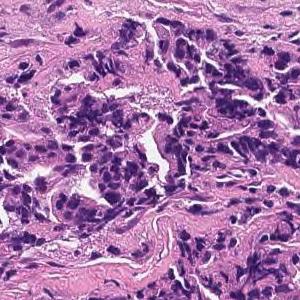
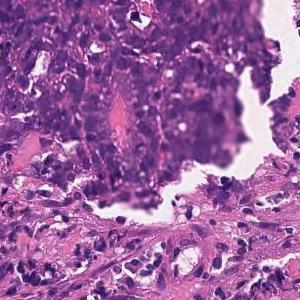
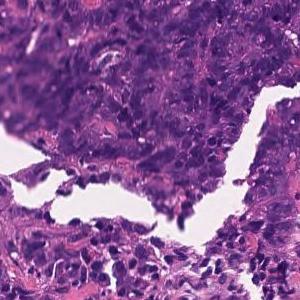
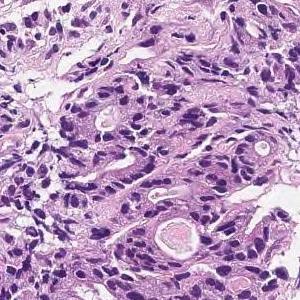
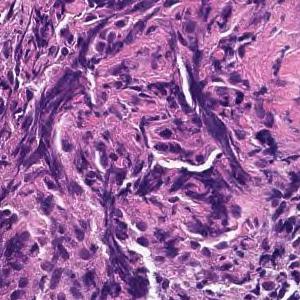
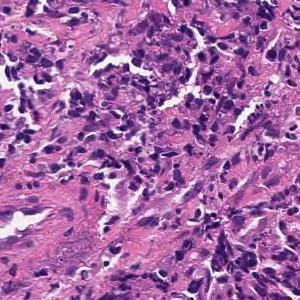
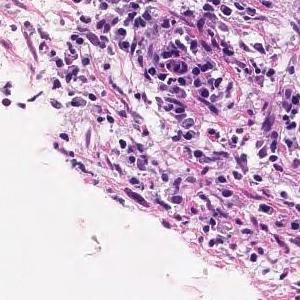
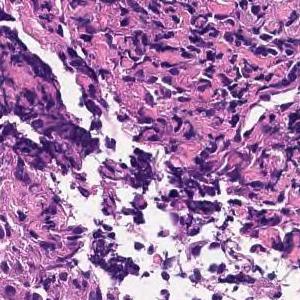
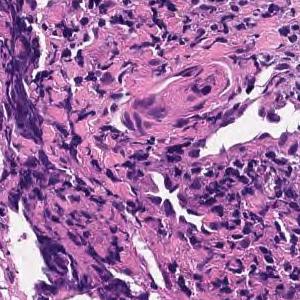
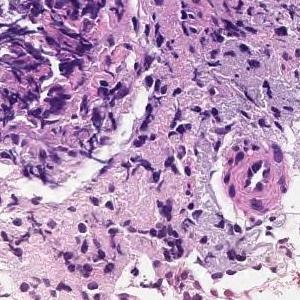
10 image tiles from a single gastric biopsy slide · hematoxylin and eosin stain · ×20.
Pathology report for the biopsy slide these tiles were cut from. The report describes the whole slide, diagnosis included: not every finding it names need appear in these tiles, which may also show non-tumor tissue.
Tumor tissue consisting of medium-sized, cord-like or irregular glandular infiltration is observed in the superficial epithelium. Poorly differentiated adenocarcinoma, non-solid type or moderately differentiated tubular adenocarcinoma
Histological subtype: Moderately to poorly differentiated adenocarcinoma.
"Non-solid type" is a category of the Japanese Classification of Gastric Carcinoma.
